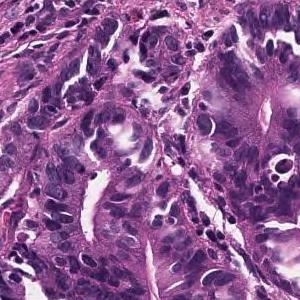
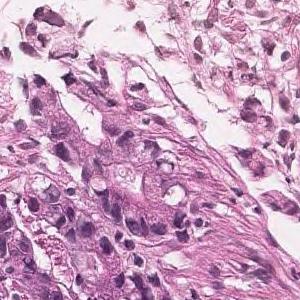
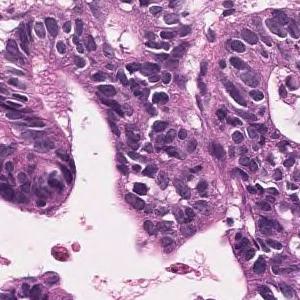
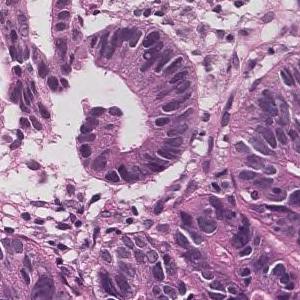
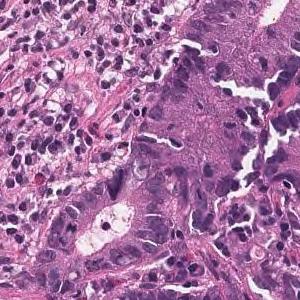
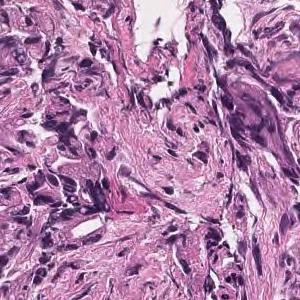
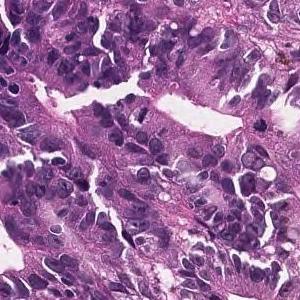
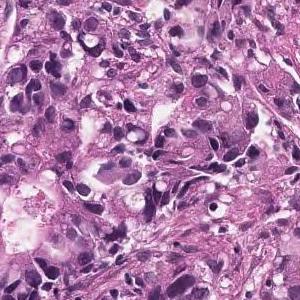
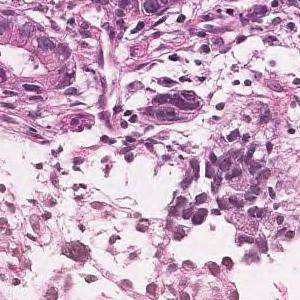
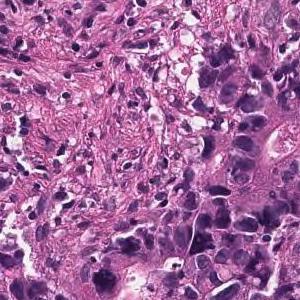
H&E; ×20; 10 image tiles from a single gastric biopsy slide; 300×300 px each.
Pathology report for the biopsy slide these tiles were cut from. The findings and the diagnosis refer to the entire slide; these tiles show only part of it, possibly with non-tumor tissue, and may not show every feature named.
In the superficial epithelium, tumor tissue is found in which medium-sized irregular gland ducts fuse with each other and infiltrate. moderately differentiated tubular adenocarcinoma
